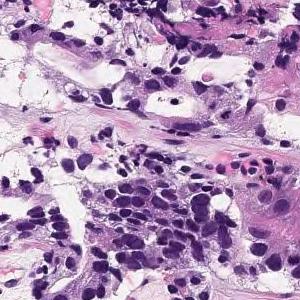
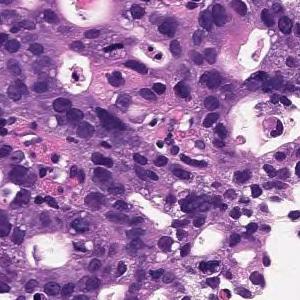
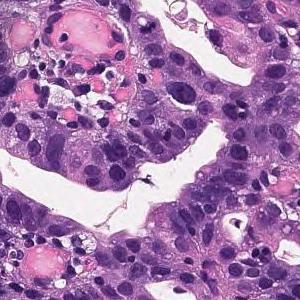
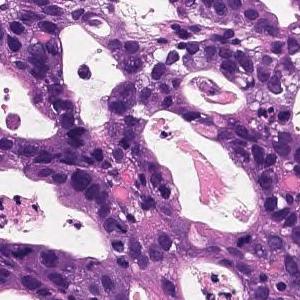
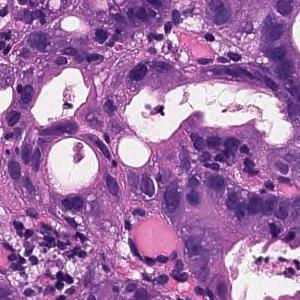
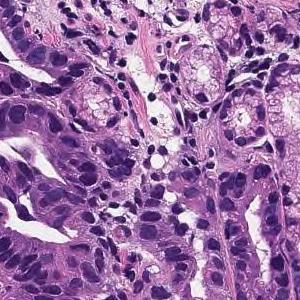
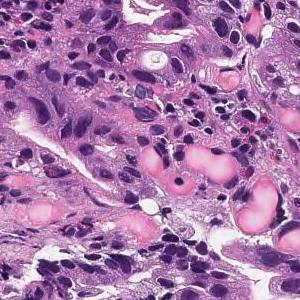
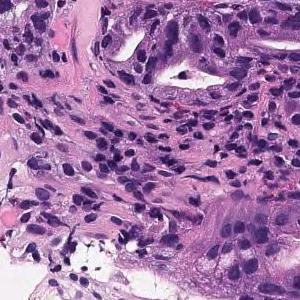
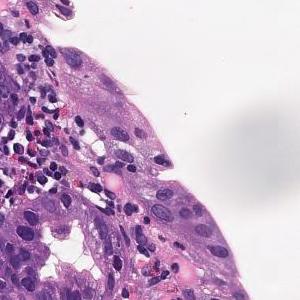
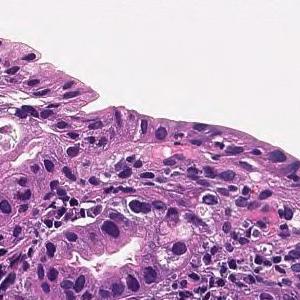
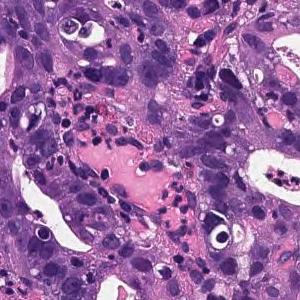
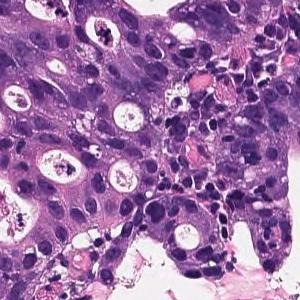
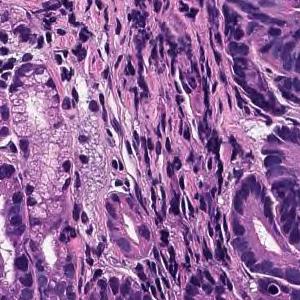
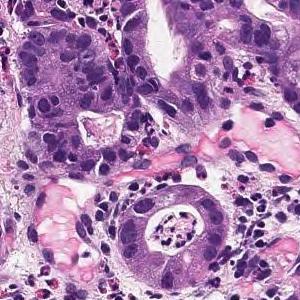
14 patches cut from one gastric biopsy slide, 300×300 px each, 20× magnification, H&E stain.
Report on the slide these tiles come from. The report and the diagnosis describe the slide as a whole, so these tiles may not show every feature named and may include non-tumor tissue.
On the superficial epithelium, tumor tissue consisting of large, irregular glandular ducts partially fused and infiltrated is observed. Well to moderately differentiated tubular adenocarcinoma (well differentiated tubular adenocarcinoma, moderately differentiated tubular adenocarcinoma)
Histologic type: Well to moderately differentiated tubular adenocarcinoma.
